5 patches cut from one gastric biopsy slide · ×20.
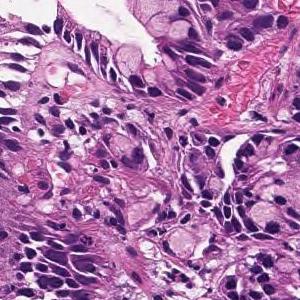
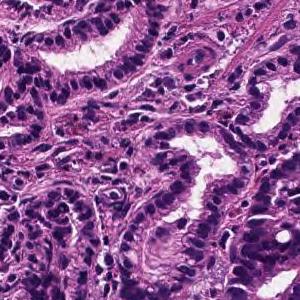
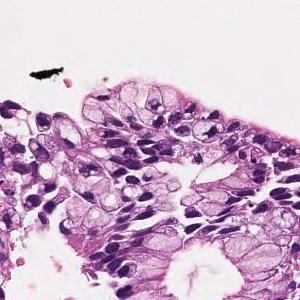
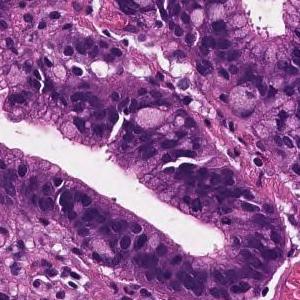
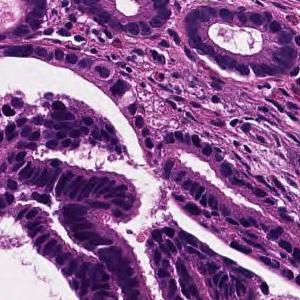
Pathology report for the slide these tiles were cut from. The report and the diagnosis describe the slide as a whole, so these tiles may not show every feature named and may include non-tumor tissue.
On the superficial epithelium, tumor tissue consisting of medium-sized and irregular glandular ducts partially fused and infiltrated is observed. Well to moderately differentiated tubular adenocarcinoma (well differentiated tubular adenocarcinoma-moderately differentiated tubular adenocarcinoma)
Histologic type: Well to moderately differentiated tubular adenocarcinoma.
